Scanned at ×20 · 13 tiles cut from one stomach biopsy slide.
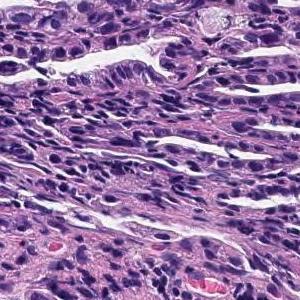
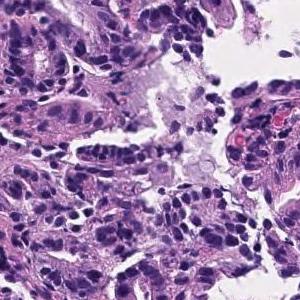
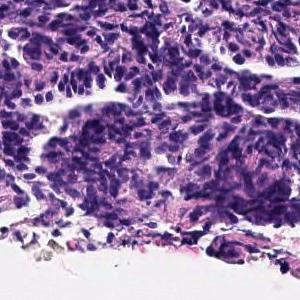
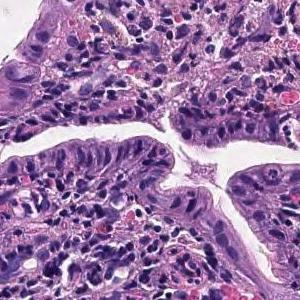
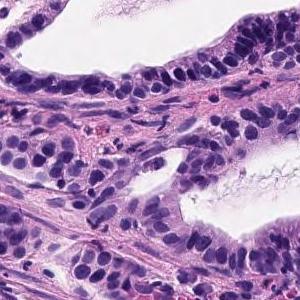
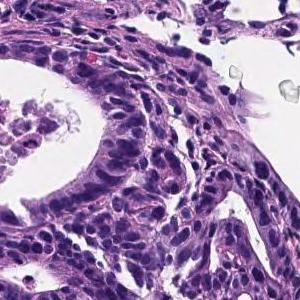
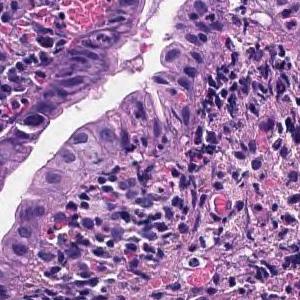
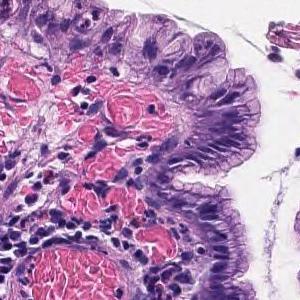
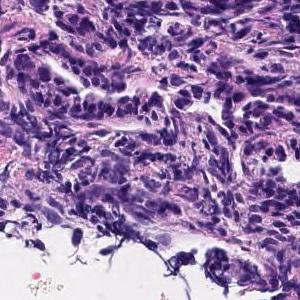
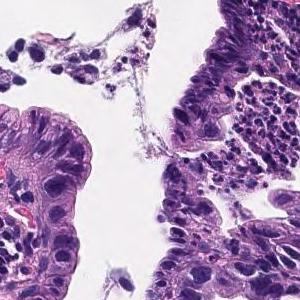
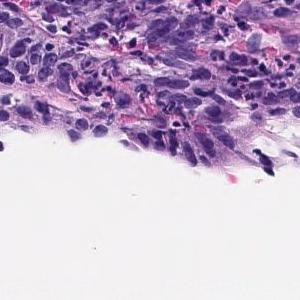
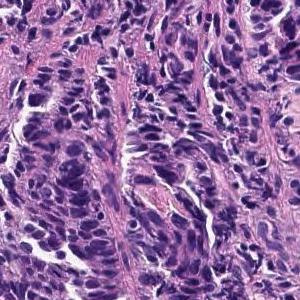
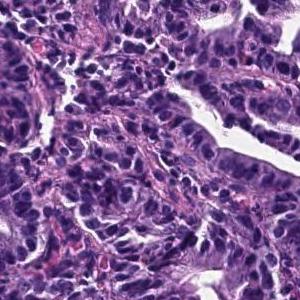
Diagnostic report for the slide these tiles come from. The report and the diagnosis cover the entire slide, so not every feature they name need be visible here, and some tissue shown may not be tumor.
The superficial tumors shows large papillary structures or large and small ducts and infiltrates. Papillary adenocarcinoma.
